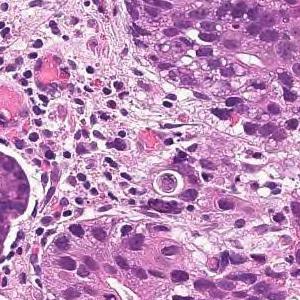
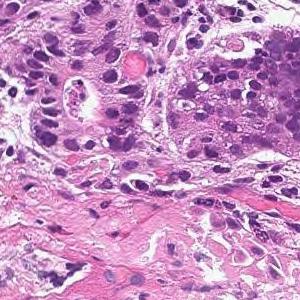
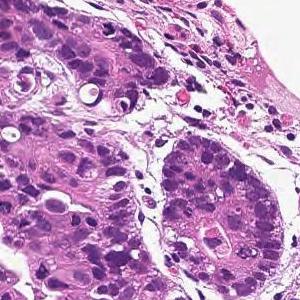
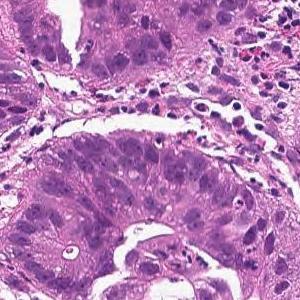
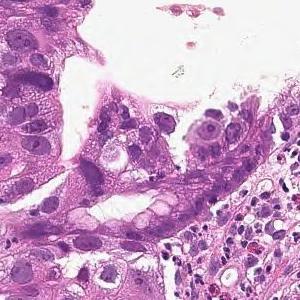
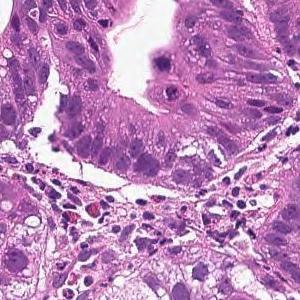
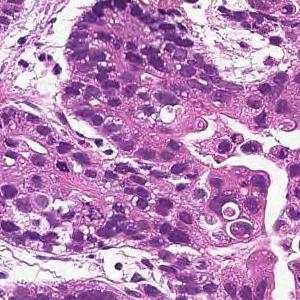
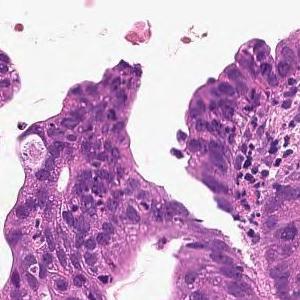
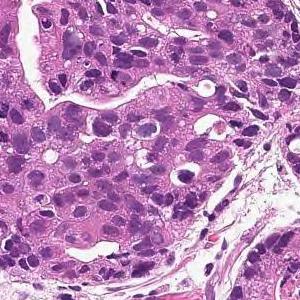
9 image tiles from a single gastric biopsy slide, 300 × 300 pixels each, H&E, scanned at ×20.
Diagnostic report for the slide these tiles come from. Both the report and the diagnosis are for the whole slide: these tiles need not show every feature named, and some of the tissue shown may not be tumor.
On the superficial epithelium, tumor tissue that infiltrates by forming medium-sized papillary or small irregular ducts is observed. Papillary adenocarcinoma
